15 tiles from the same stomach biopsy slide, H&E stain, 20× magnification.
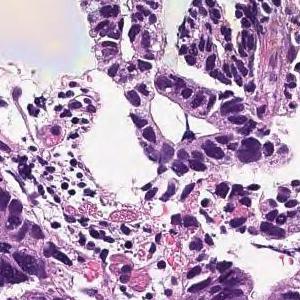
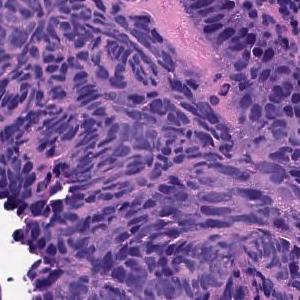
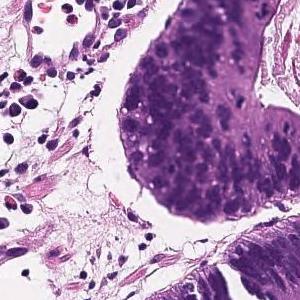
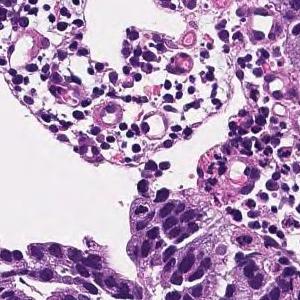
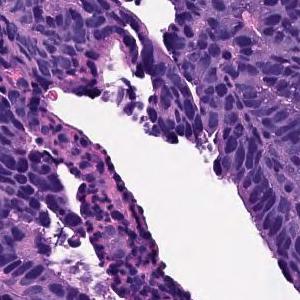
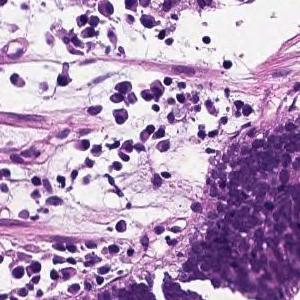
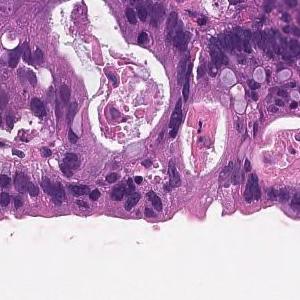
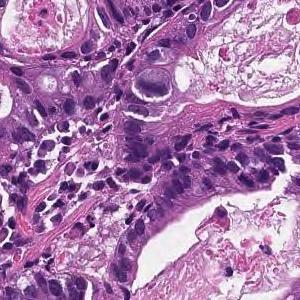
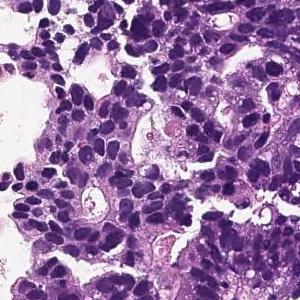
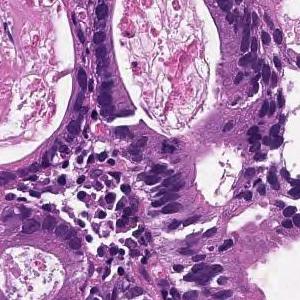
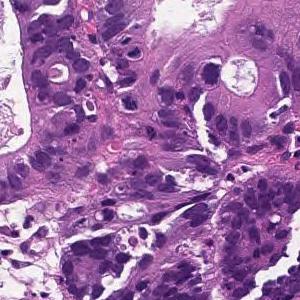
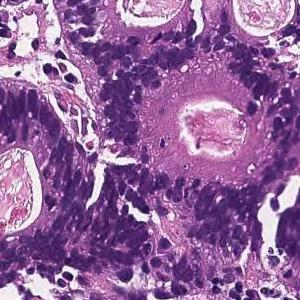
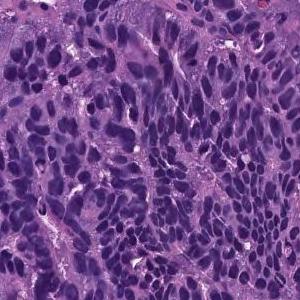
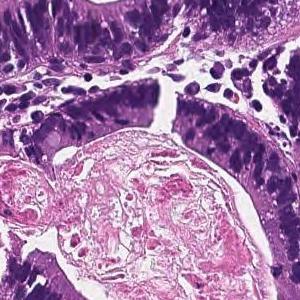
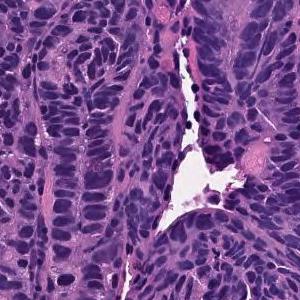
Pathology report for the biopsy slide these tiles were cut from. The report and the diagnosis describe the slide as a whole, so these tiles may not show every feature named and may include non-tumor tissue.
In the superficial epithelium, tumor tissue that invades by forming medium-sized to small, irregular ducts is observed. moderately differentiated tubular adenocarcinoma.
